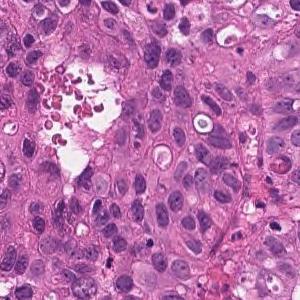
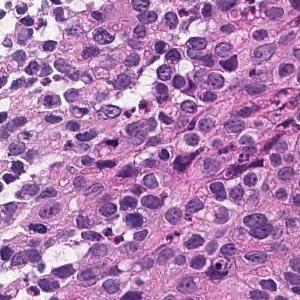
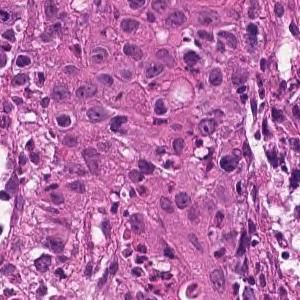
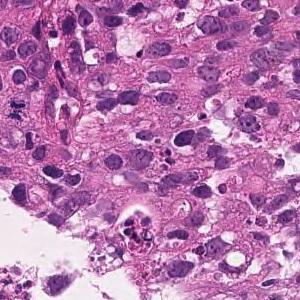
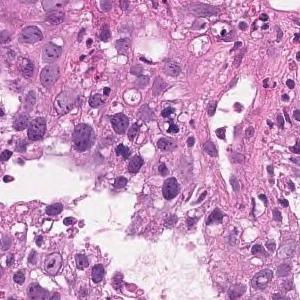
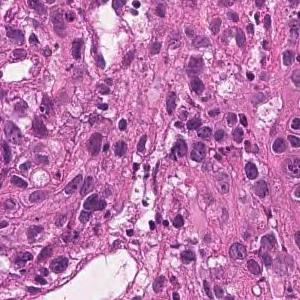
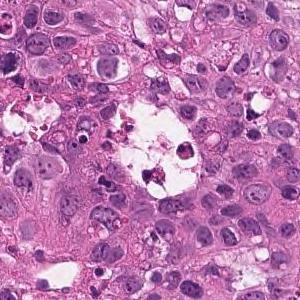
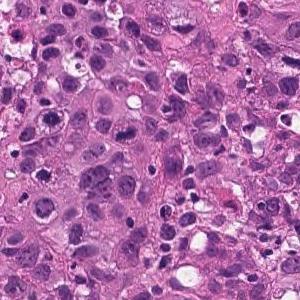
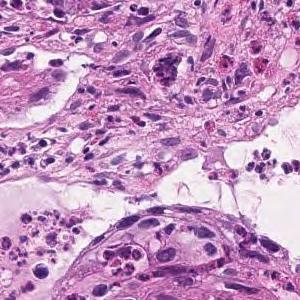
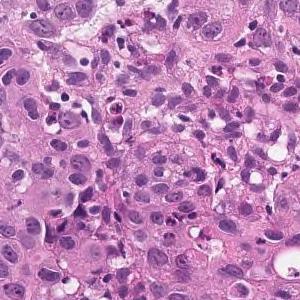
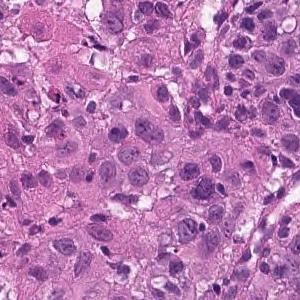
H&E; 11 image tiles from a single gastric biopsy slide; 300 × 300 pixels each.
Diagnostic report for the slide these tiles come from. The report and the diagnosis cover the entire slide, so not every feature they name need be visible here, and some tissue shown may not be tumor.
The superficial epithelium shows a large sheet-like shape, and some tumor tissue infiltrates with small irregular ducts. Poorly differentiated adenocarcinoma, solid-type
Tumor subtype: poorly differentiated adenocarcinoma, solid type (Japanese Classification of Gastric Carcinoma). The WHO 2019 equivalent is tubular adenocarcinoma, poorly differentiated.
